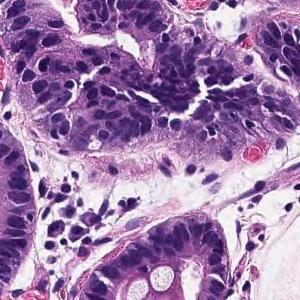
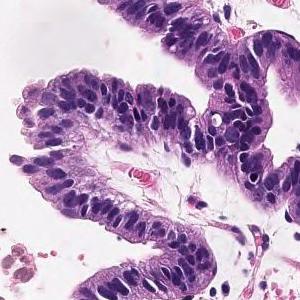
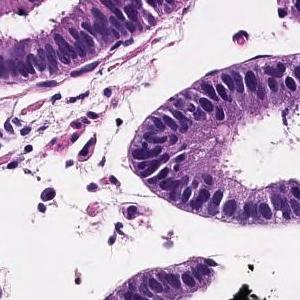
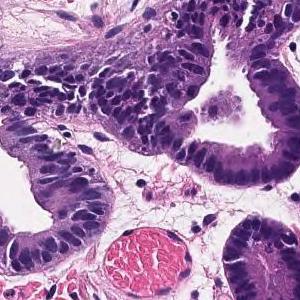
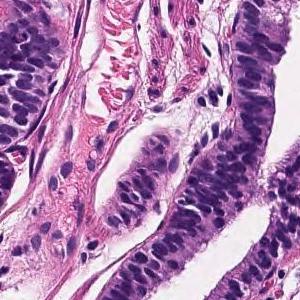
H&E stain · 20× magnification · 5 image tiles from a single gastric biopsy slide.
The pathologist's report on the biopsy slide these tiles were taken from. What the report and the diagnosis say applies to the whole slide; these tiles may miss some of the features named and may include tissue that is not tumor.
Tumor cells are large, highly columnar, large club-shaped nuclei, and are associated with chromatin aggregation. Papillary adenocarcinoma.
